H&E stain; 6 tiles from the same stomach biopsy slide; each 300 × 300 pixels.
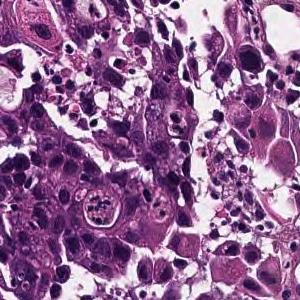
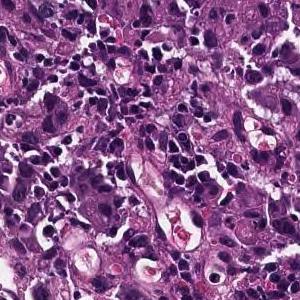
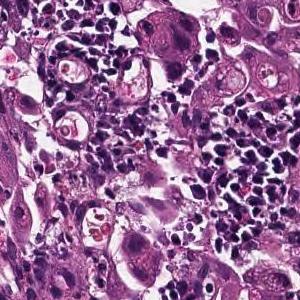
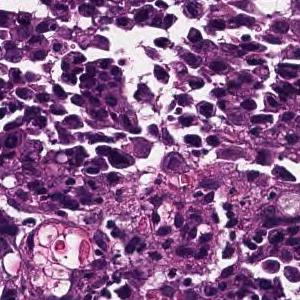
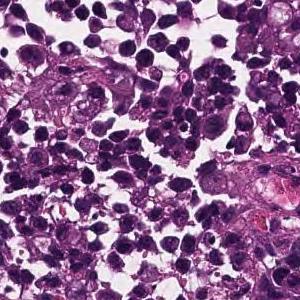
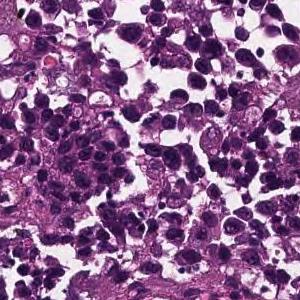
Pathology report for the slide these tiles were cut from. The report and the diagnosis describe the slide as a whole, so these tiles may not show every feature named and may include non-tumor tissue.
The superficial epithelium shows a large sheet-like shape, and some tumor tissue infiltrates with small irregular ducts. Poorly differentiated adenocarcinoma, solid-type
Subtype: Poorly differentiated adenocarcinoma, solid type, a category of the Japanese Classification of Gastric Carcinoma; in the WHO 2019 classification it is tubular adenocarcinoma, poorly differentiated.
